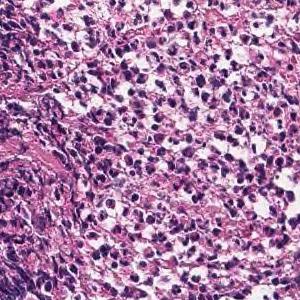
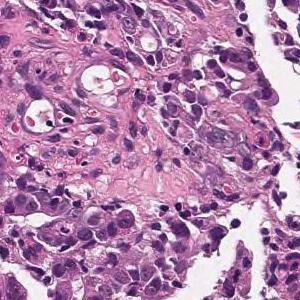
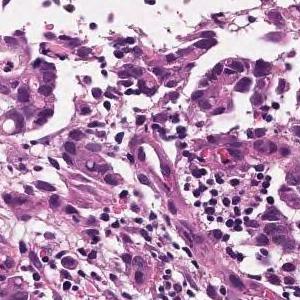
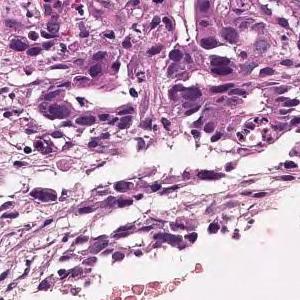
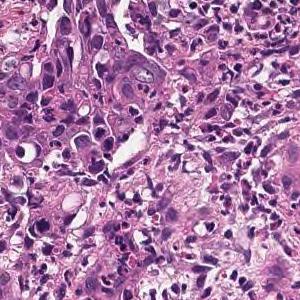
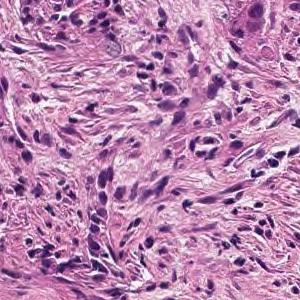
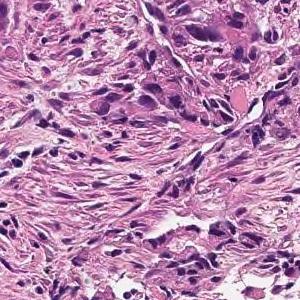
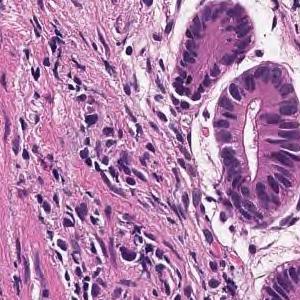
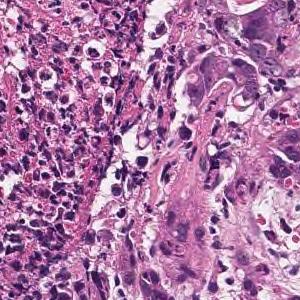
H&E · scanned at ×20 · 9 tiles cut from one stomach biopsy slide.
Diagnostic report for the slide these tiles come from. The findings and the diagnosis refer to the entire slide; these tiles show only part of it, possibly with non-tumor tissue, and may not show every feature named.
Tumor tissue consisting of cord-like or small, irregular glandular ducts fused and infiltrated is observed in the superficial epithelium. Poorly differentiated adenocarcinoma, non-solid type
The non-solid type named here is a Japanese Classification of Gastric Carcinoma category.
